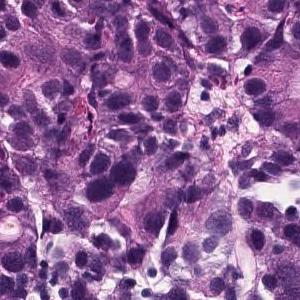
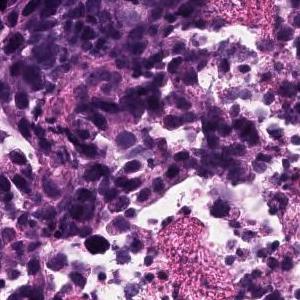
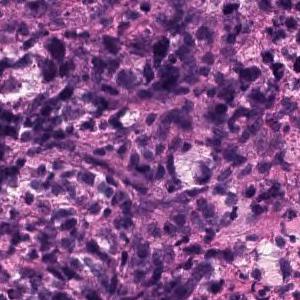
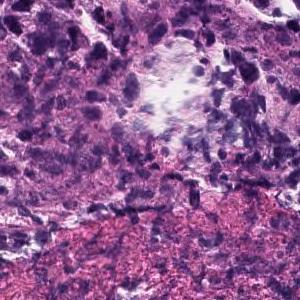
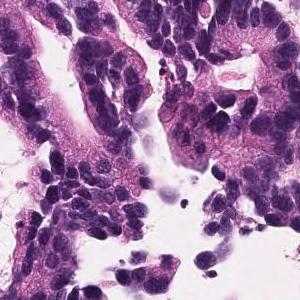
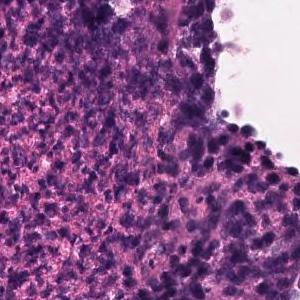
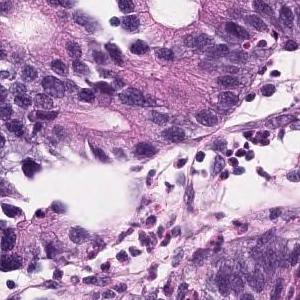
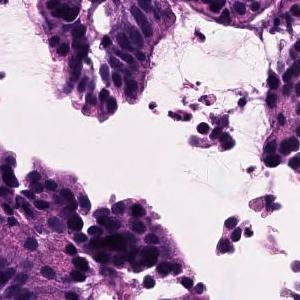
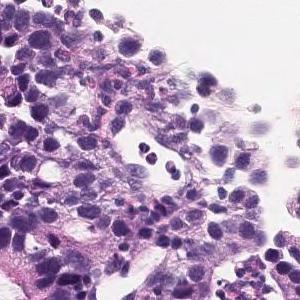
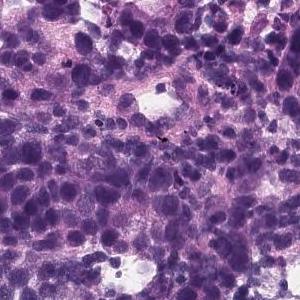
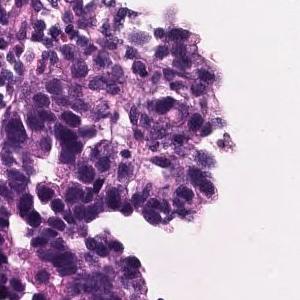
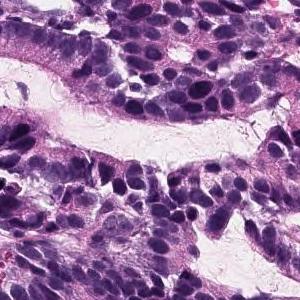
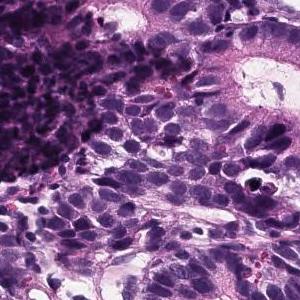
20× magnification; H&E; 13 tiles cut from one stomach biopsy slide.
Pathology report for the biopsy slide these tiles were cut from. Both the report and the diagnosis are for the whole slide: these tiles need not show every feature named, and some of the tissue shown may not be tumor.
In the superficial epithelium, tumor tissue that invades by forming medium-sized to small, irregular ducts is observed. moderately differentiated tubular adenocarcinoma.
